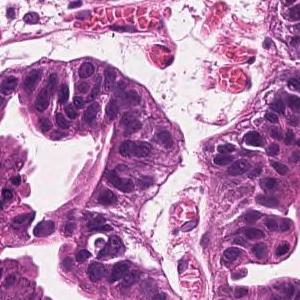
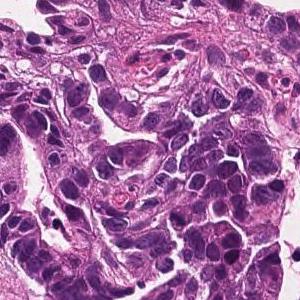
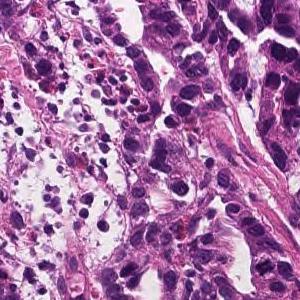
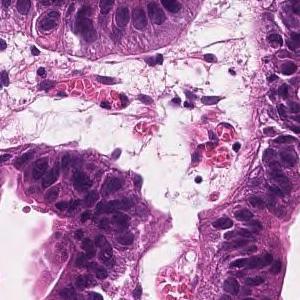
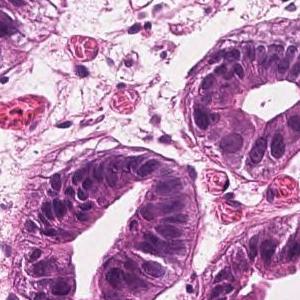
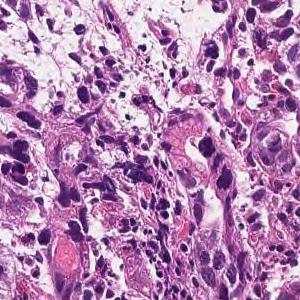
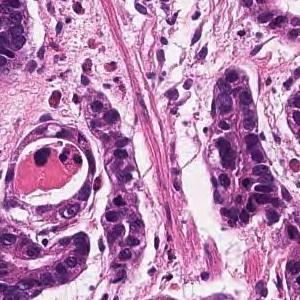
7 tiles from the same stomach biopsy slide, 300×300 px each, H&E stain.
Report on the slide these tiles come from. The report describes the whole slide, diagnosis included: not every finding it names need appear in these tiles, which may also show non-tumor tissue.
In the superficial epithelium, tumor tissue that invades by forming medium-sized to small, irregular ducts is observed. Well differentiated tubular adenocarcinoma.
